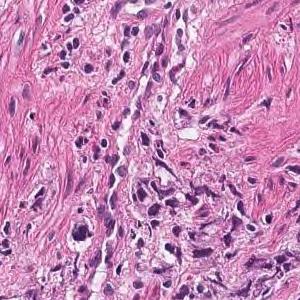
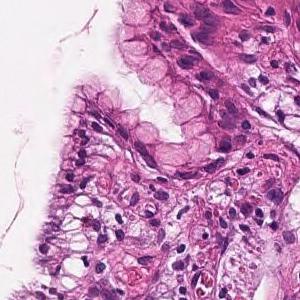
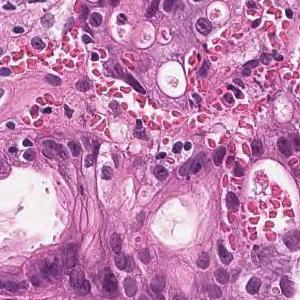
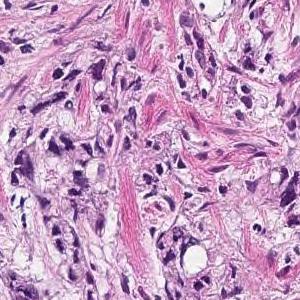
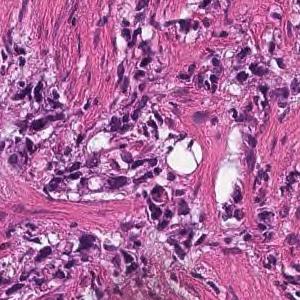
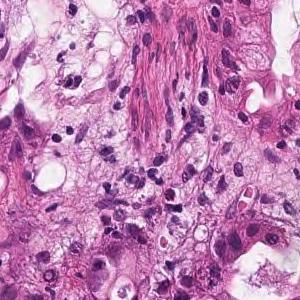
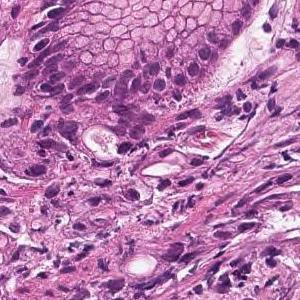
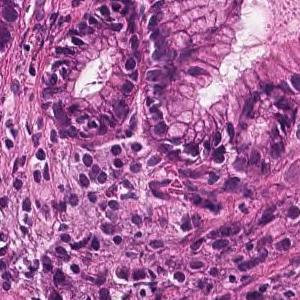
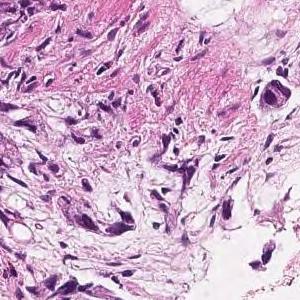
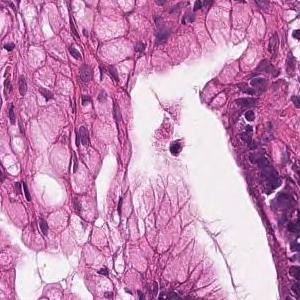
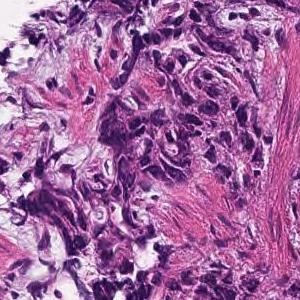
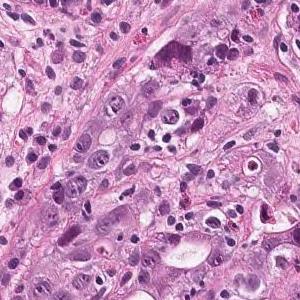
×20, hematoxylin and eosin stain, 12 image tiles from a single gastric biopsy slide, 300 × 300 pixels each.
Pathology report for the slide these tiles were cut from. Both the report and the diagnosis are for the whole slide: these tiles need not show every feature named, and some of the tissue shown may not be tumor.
In the gastric mucosal tissue, tumor tissue that forms irregular glandular cavities of medium to small size or shows small cords and infiltrates is observed. moderately differentiated tubular adenocarcinoma
